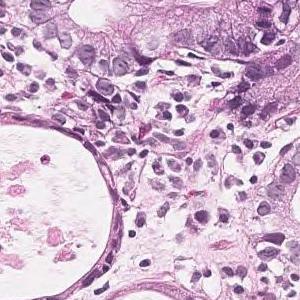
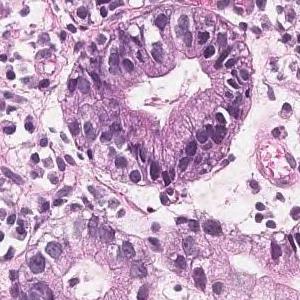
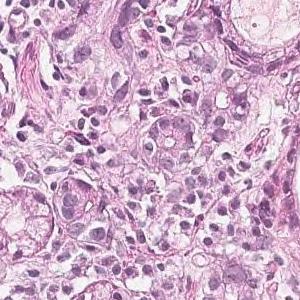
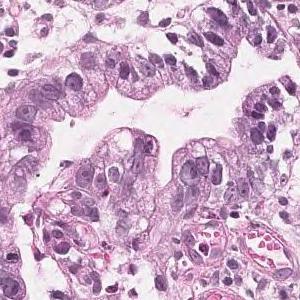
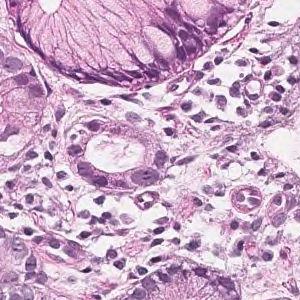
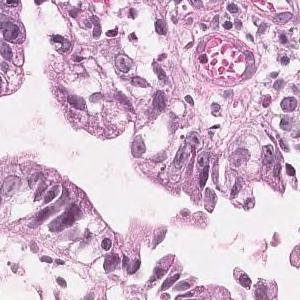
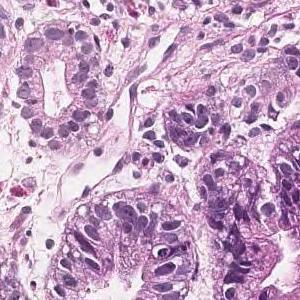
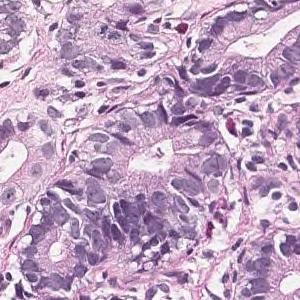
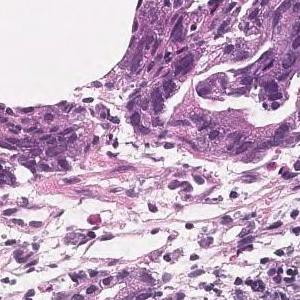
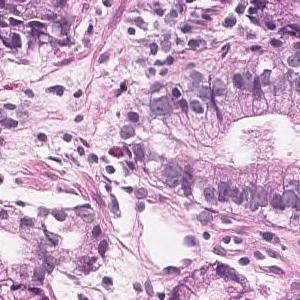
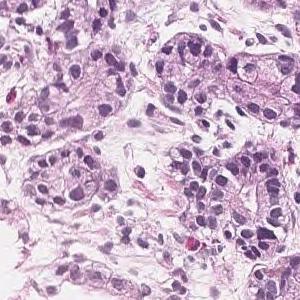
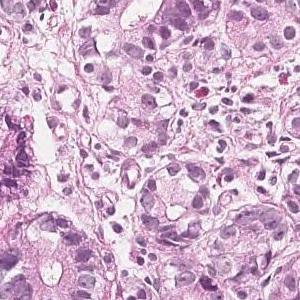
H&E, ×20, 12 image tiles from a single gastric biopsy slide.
Pathology report for the slide these tiles were cut from. What the report and the diagnosis say applies to the whole slide; these tiles may miss some of the features named and may include tissue that is not tumor.
In the superficial epithelium, tumor tissue that invades by forming medium-sized to small, irregular ducts is observed. moderately differentiated tubular adenocarcinoma.
